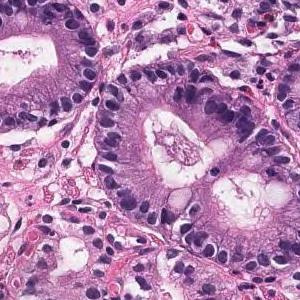
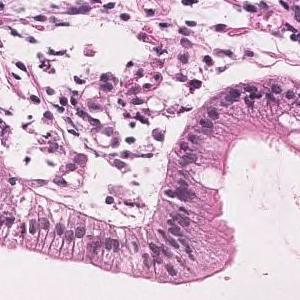
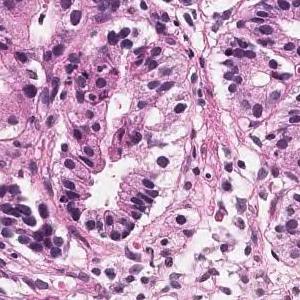
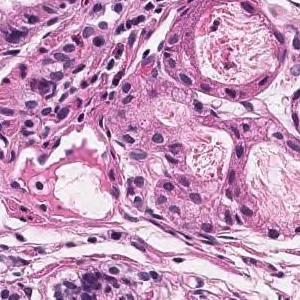
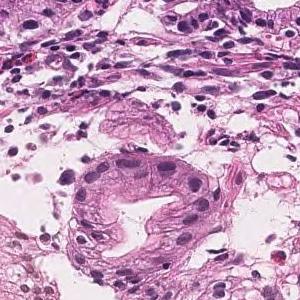
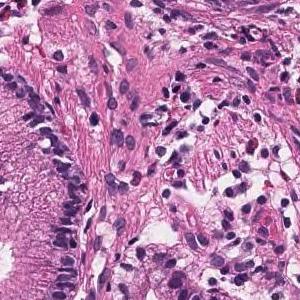
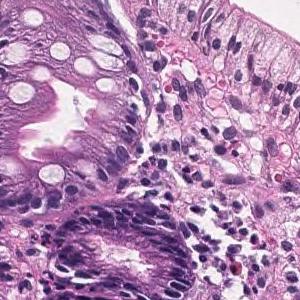
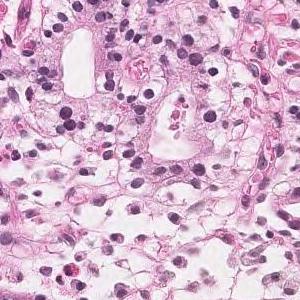
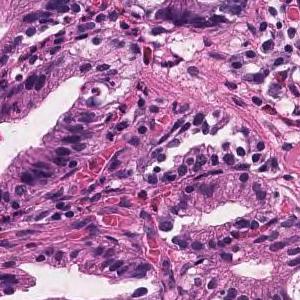
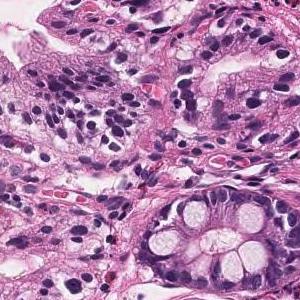
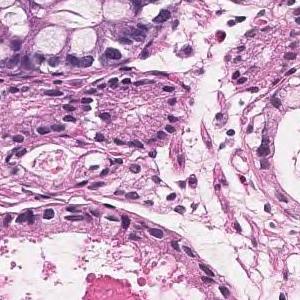
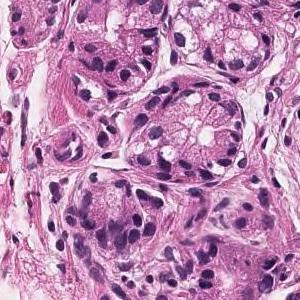
H&E stain, ×20, 12 patches cut from one gastric biopsy slide, 300 × 300 pixels each.
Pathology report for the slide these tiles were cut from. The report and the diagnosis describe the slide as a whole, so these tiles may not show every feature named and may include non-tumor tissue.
On the superficial epithelium, tumor tissue consisting of large, irregular glandular ducts partially fused and infiltrated is observed. Well differentiated tubular adenocarcinoma
